×20 · H&E stain · 7 image tiles from a single gastric biopsy slide.
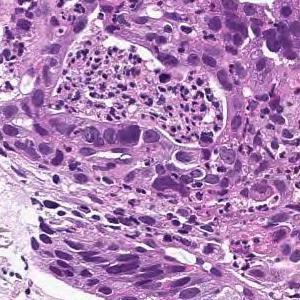
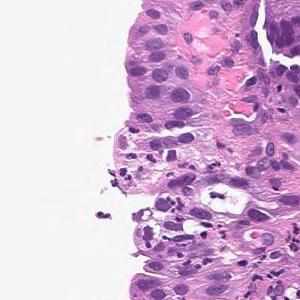
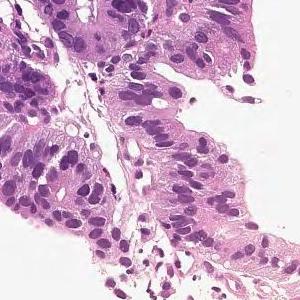
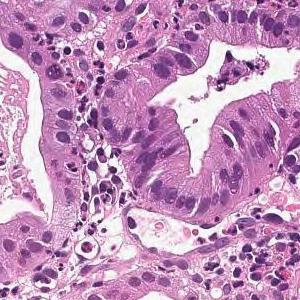
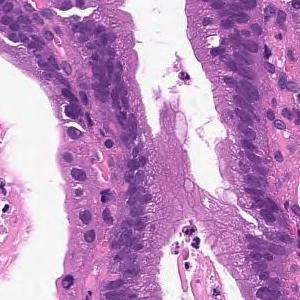
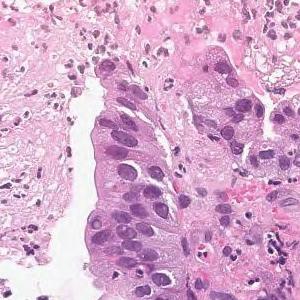
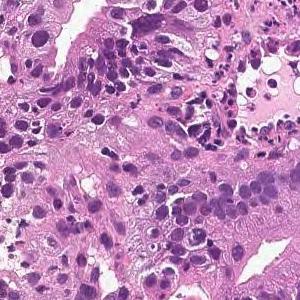
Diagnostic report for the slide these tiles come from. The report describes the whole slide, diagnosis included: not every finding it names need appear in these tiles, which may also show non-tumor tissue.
From the superficial epithelium to the muscularis mucosae, tumor tissue consisting of medium-sized and irregular glandular ducts infiltrating is observed. Well differentiated tubular adenocarcinoma
